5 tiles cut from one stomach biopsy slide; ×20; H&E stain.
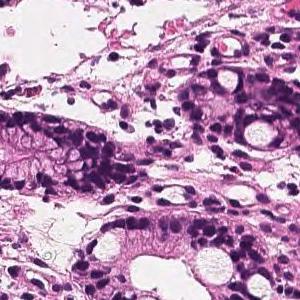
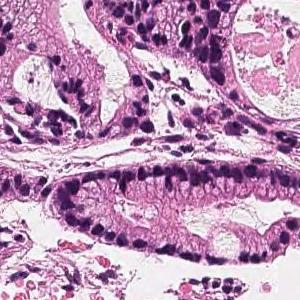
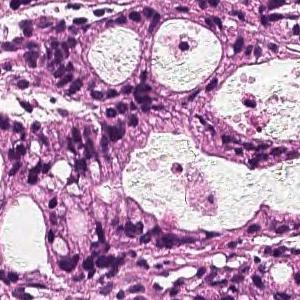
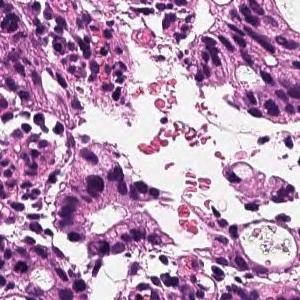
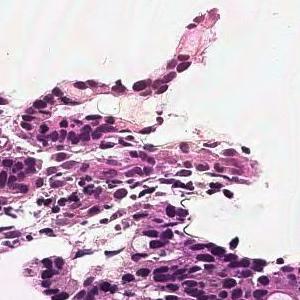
The pathologist's report on the biopsy slide these tiles were taken from. The findings and the diagnosis refer to the entire slide; these tiles show only part of it, possibly with non-tumor tissue, and may not show every feature named.
In the superficial epithelium, tumor tissue that invades by forming medium-sized to small, irregular ducts is observed. moderately differentiated tubular adenocarcinoma.
